Scanned at ×20, 16 tiles from the same stomach biopsy slide, 300×300 px each.
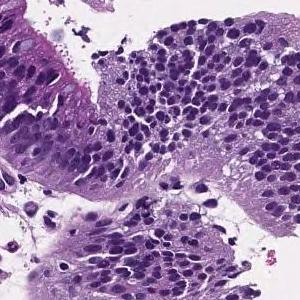
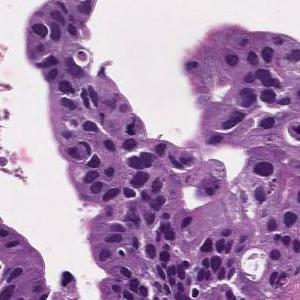
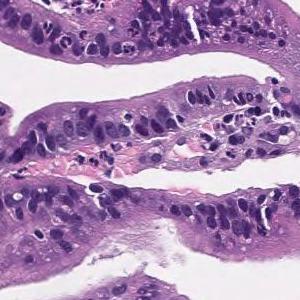
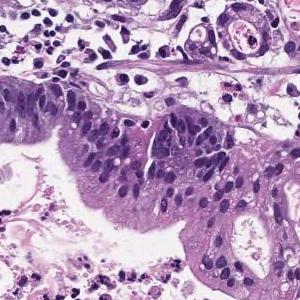
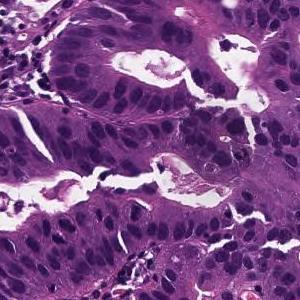
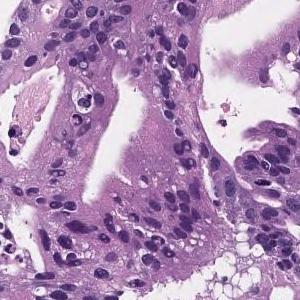
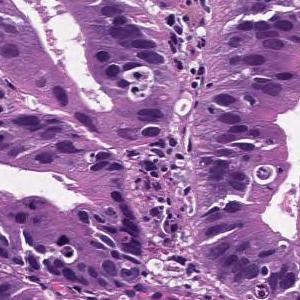
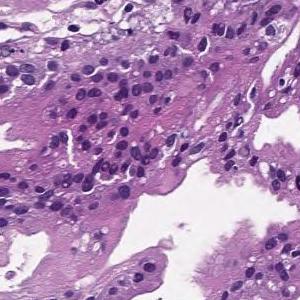
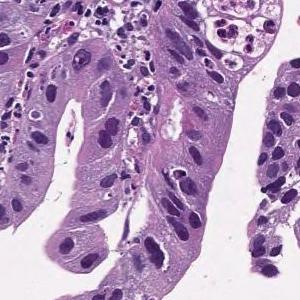
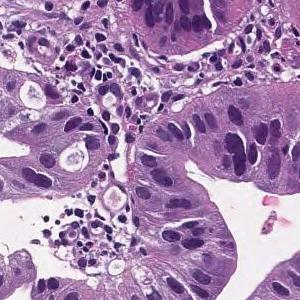
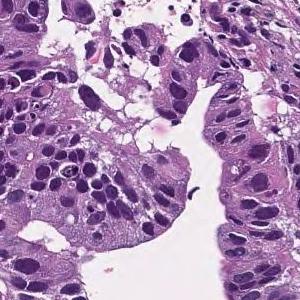
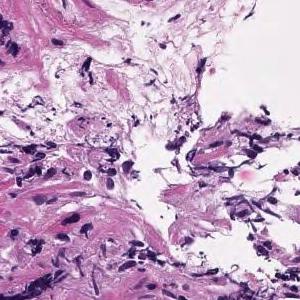
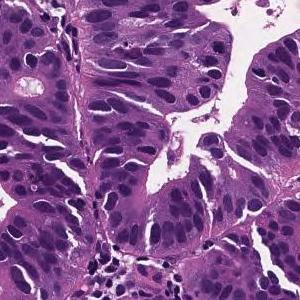
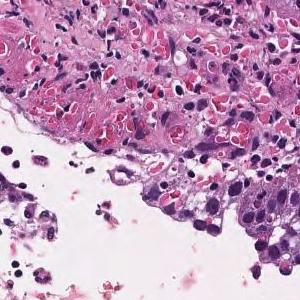
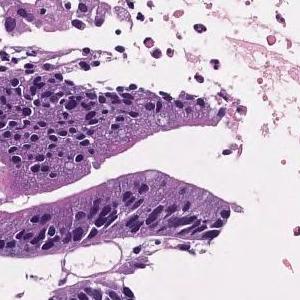
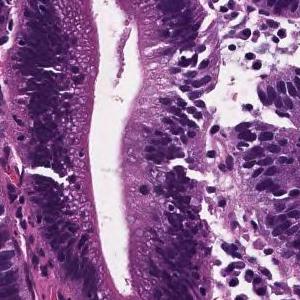
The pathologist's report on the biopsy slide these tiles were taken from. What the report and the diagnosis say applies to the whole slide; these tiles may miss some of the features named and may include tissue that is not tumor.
Tumor cells are large, highly columnar, large club-shaped nuclei, and are associated with chromatin aggregation. Papillary adenocarcinoma.
